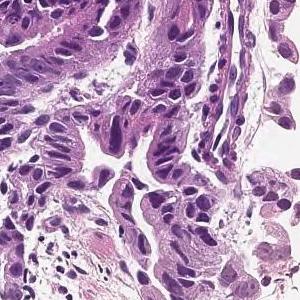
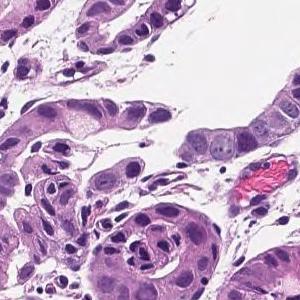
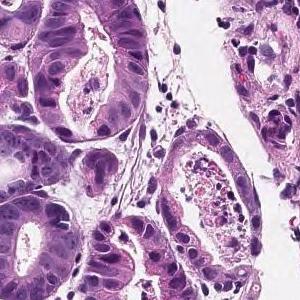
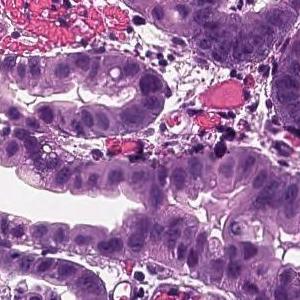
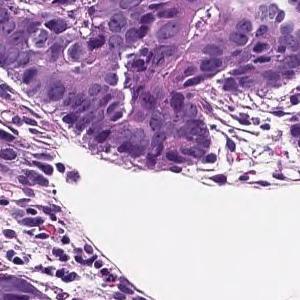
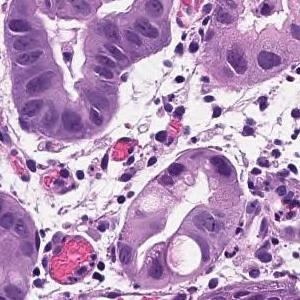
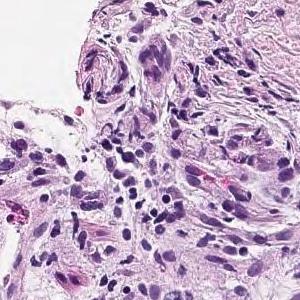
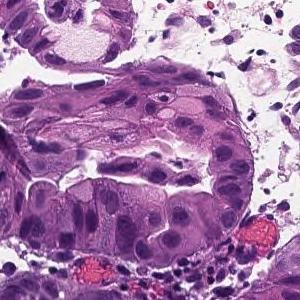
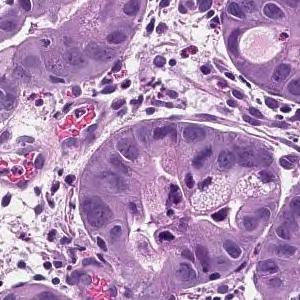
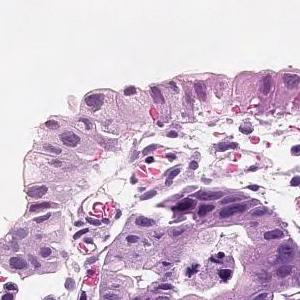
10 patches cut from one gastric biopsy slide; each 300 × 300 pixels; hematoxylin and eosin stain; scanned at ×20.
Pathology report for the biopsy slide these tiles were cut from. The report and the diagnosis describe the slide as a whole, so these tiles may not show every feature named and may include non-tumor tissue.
On the superficial epithelium, tumor tissue that infiltrates by forming medium-sized papillary or small irregular ducts is observed. Papillary adenocarcinoma
